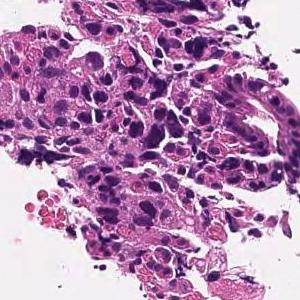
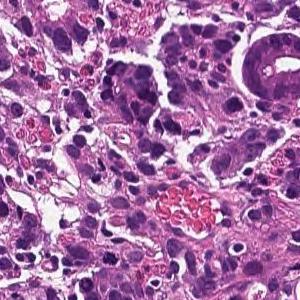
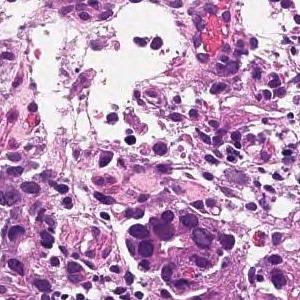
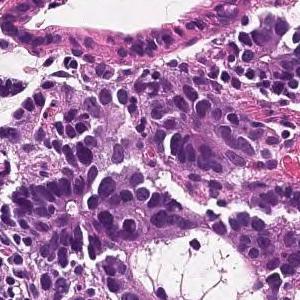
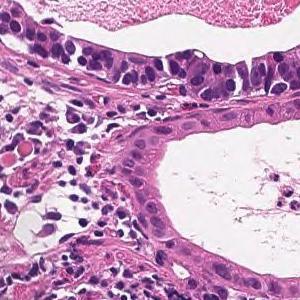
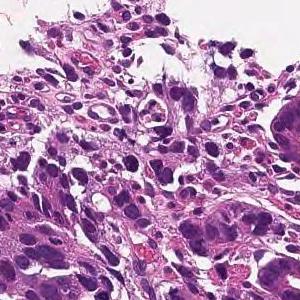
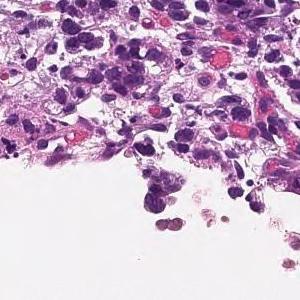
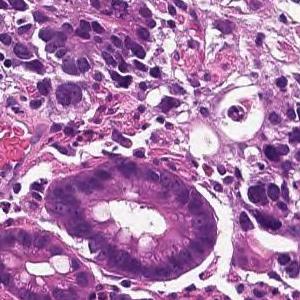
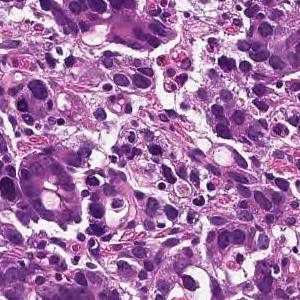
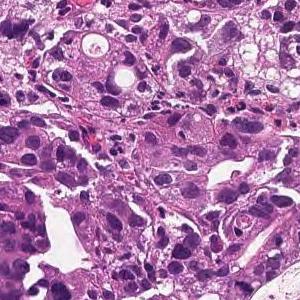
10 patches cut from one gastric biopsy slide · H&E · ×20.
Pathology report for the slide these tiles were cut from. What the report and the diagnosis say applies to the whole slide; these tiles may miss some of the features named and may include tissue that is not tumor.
On the superficial epithelium, tumor tissue is found in which medium-sized irregular gland ducts fuse with each other and infiltrate. moderately differentiated tubular adenocarcinoma
